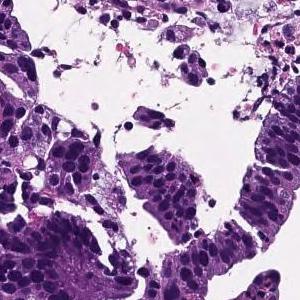
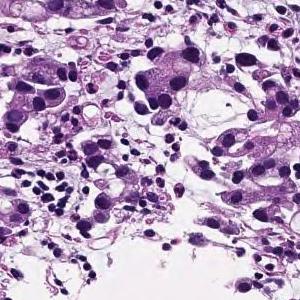
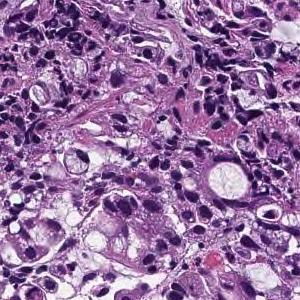
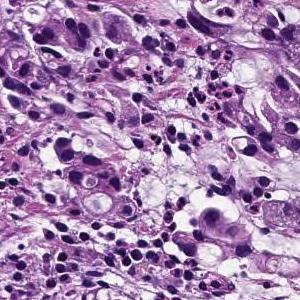
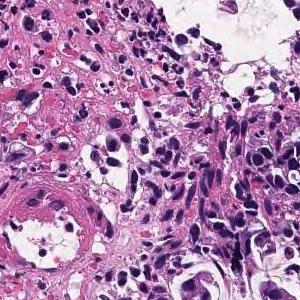
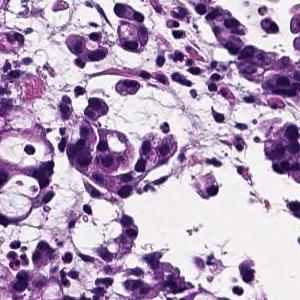
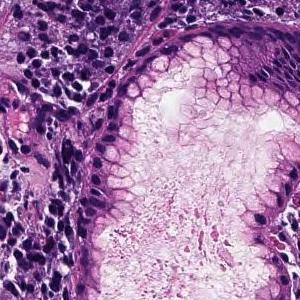
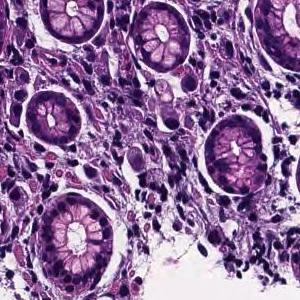
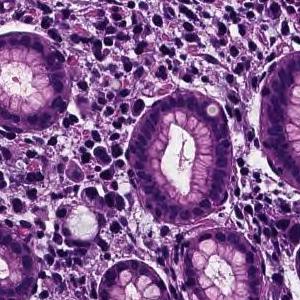
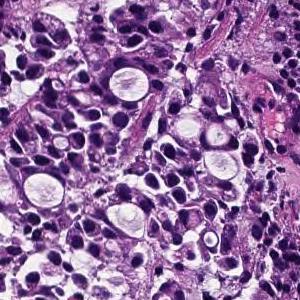
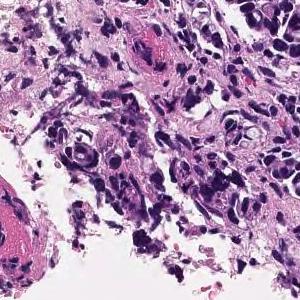
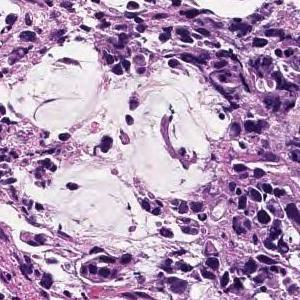
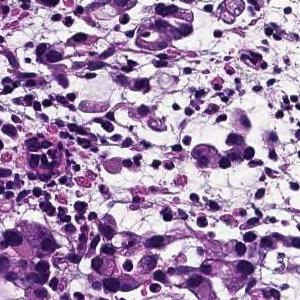
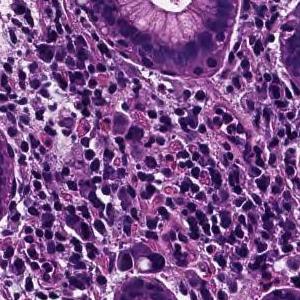
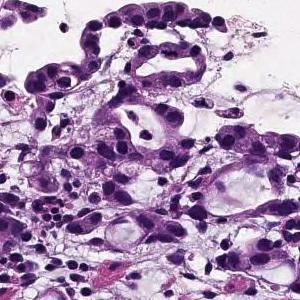
15 patches cut from one gastric biopsy slide, ×20.
Report on the slide these tiles come from. Both the report and the diagnosis are for the whole slide: these tiles need not show every feature named, and some of the tissue shown may not be tumor.
Tumor tissue consisting of cord-like or small, irregular glandular ducts fused and infiltrated is observed in the superficial epithelium. Poorly differentiated adenocarcinoma, non-solid type
"Non-solid type" is a category of the Japanese Classification of Gastric Carcinoma.
